H&E; ×20; 9 tiles from the same stomach biopsy slide; 300×300 px each.
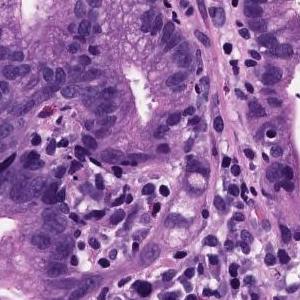
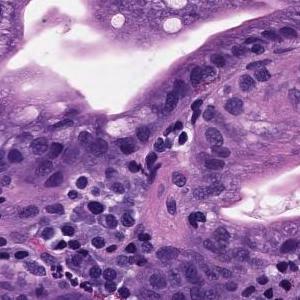
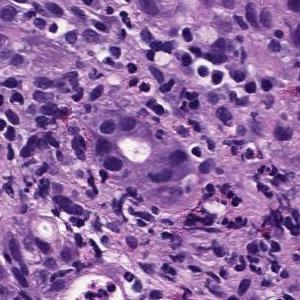
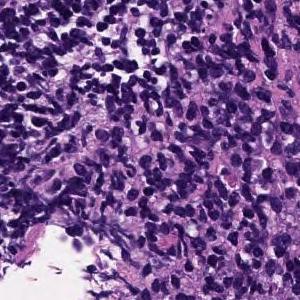
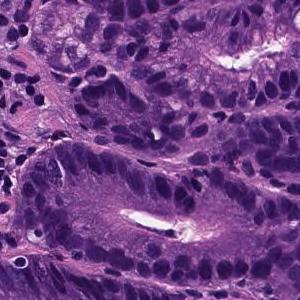
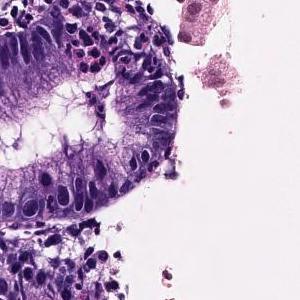
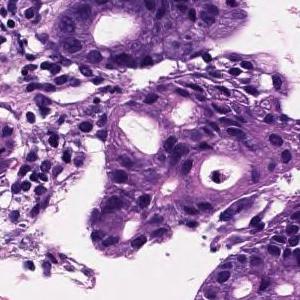
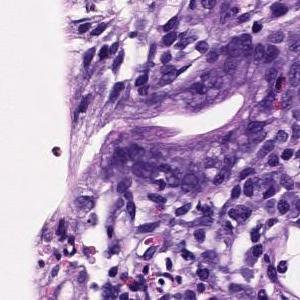
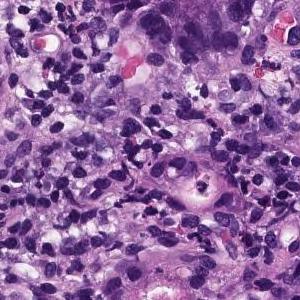
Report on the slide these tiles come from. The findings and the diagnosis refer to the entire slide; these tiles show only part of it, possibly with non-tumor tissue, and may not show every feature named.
Medium to small, irregular glandular ducts are formed in the superficial epithelium, and in some cases, the glandular ducts are fused to show solid alveolar lesions and infiltrating tumor tissue is observed. Moderately to poorly differentiated adenocarcinoma.
